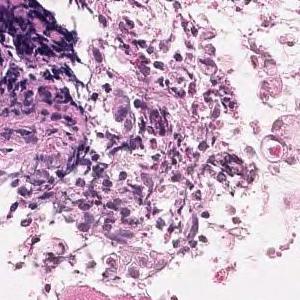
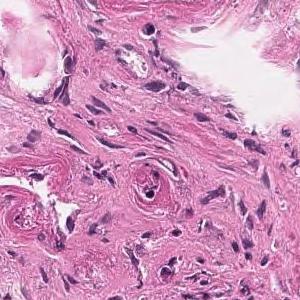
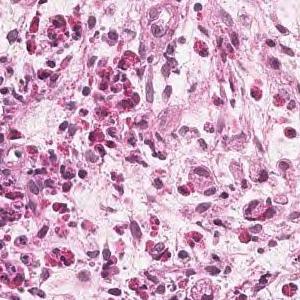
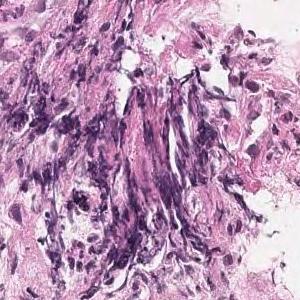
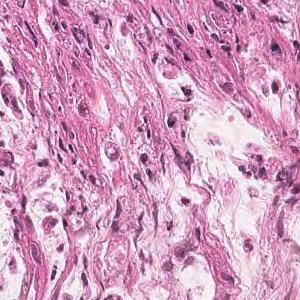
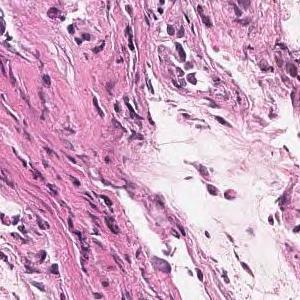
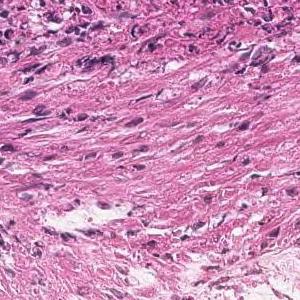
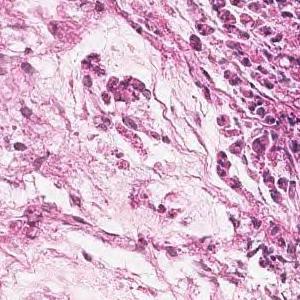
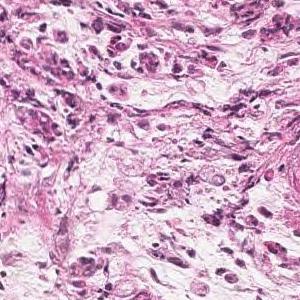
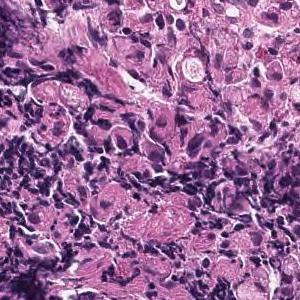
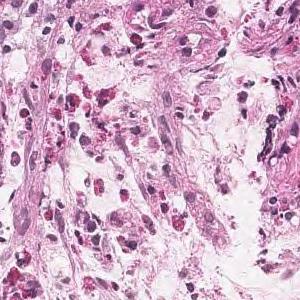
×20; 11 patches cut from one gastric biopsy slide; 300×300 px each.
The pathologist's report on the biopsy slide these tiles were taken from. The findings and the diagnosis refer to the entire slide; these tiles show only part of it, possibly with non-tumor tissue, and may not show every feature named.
Tumor tissue is observed in which atypical epithelial cells with mucus in the vesicles proliferate while being isolated. Signet ring cell carcinoma
